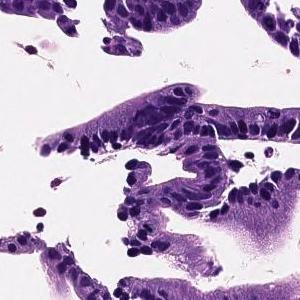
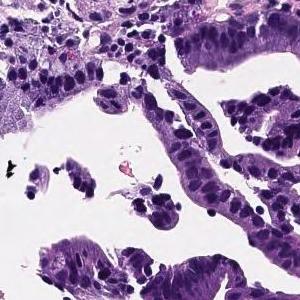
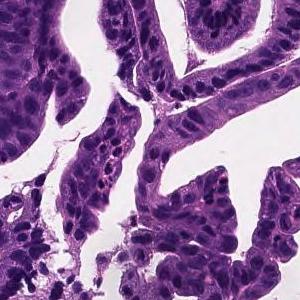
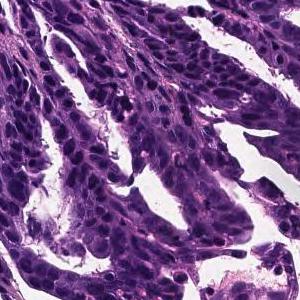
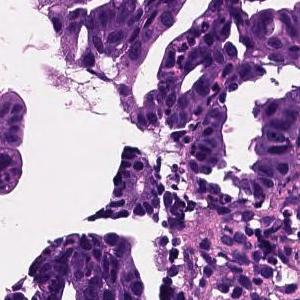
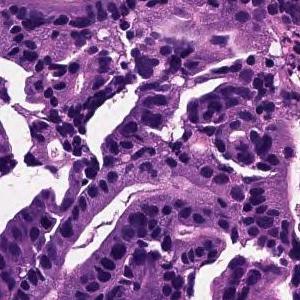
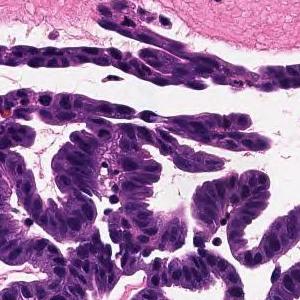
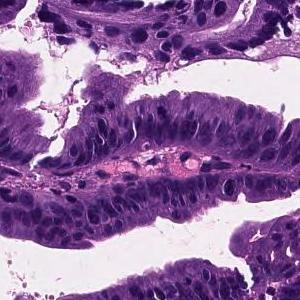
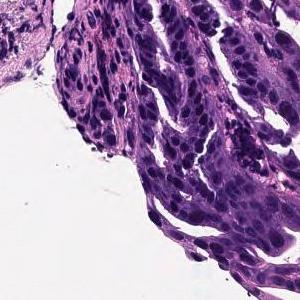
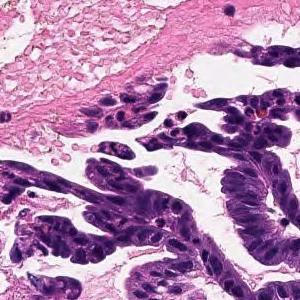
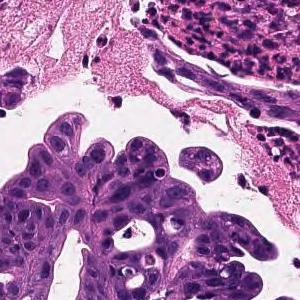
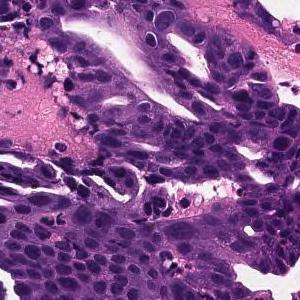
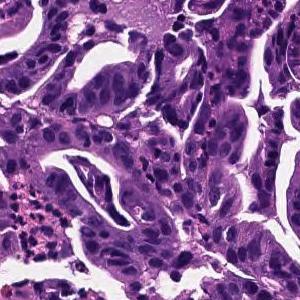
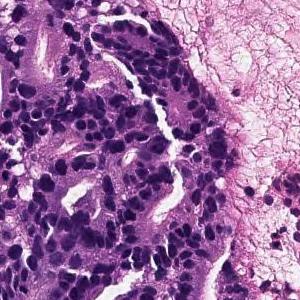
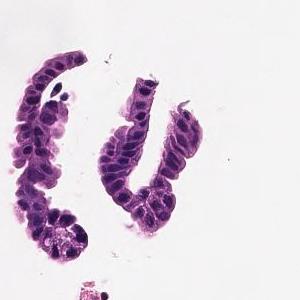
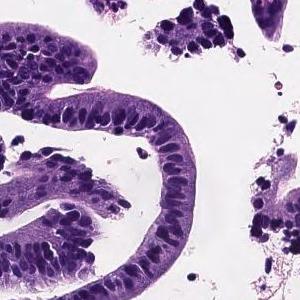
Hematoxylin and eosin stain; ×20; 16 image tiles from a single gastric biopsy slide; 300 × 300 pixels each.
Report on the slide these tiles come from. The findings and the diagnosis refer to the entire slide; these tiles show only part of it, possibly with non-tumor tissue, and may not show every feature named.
Tumor cells are large, highly columnar, large club-shaped nuclei, and are associated with chromatin aggregation. Papillary adenocarcinoma.
